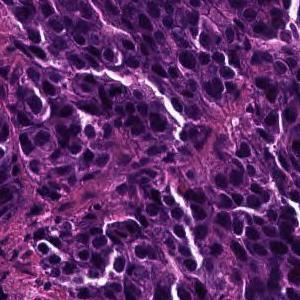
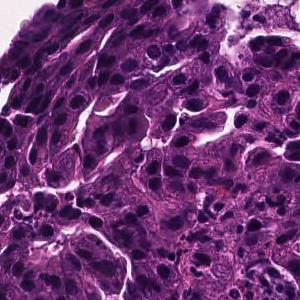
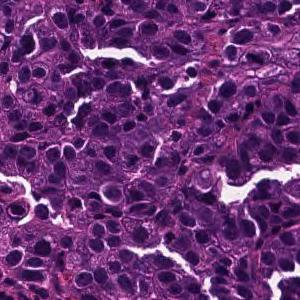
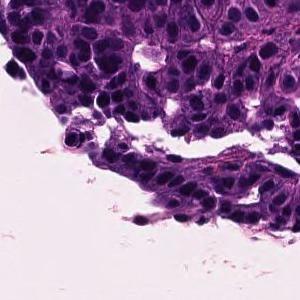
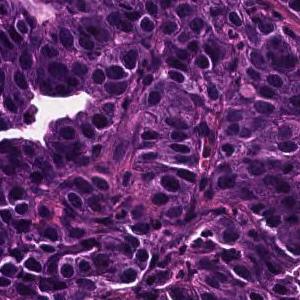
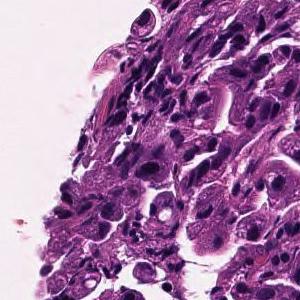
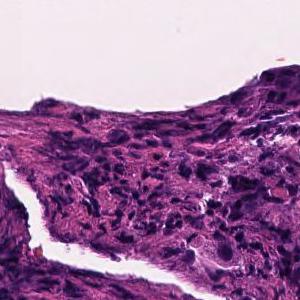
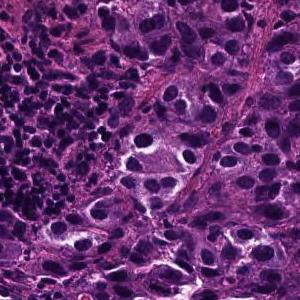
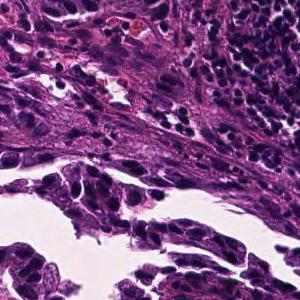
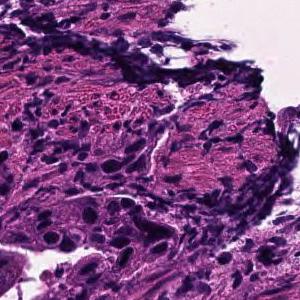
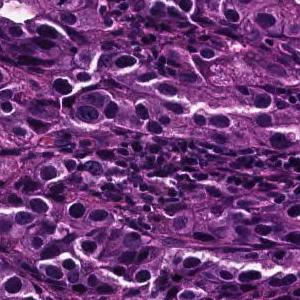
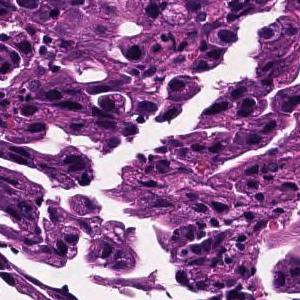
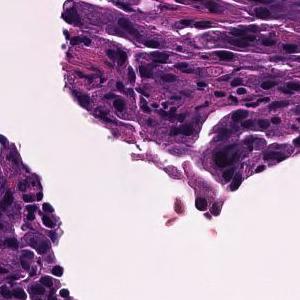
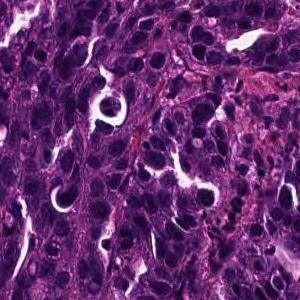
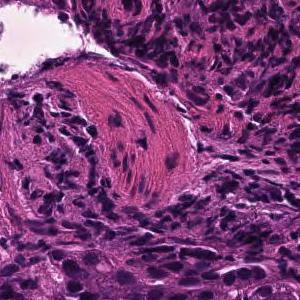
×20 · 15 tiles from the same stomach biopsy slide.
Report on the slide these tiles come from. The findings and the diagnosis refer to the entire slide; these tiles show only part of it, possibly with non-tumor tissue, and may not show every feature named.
Tumor tissue consisting of medium-sized, cord-like or irregular glandular fusion and infiltration is observed in the superficial epithelium. Poorly differentiated adenocarcinoma, non-solid type or moderately differentiated tubular adenocarcinoma
Histological subtype: Moderately to poorly differentiated adenocarcinoma.
The non-solid type named here is a Japanese Classification of Gastric Carcinoma category.
